9 tiles cut from one stomach biopsy slide, H&E stain.
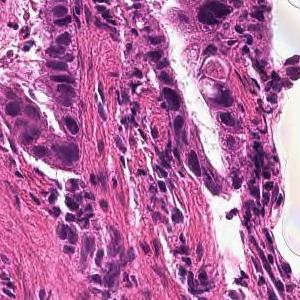
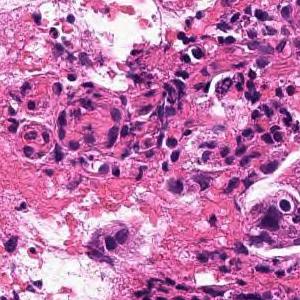
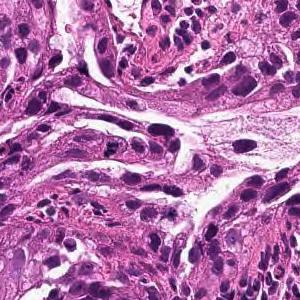
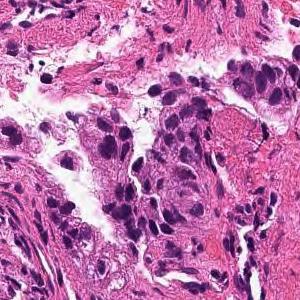
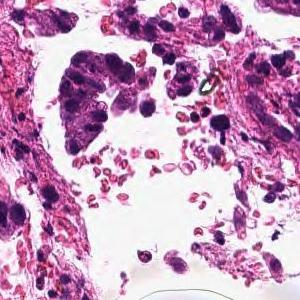
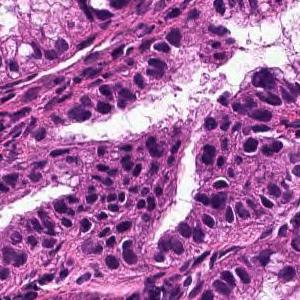
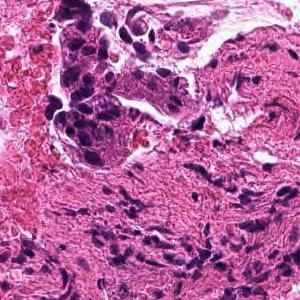
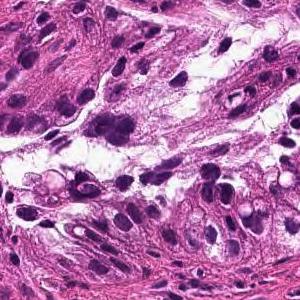
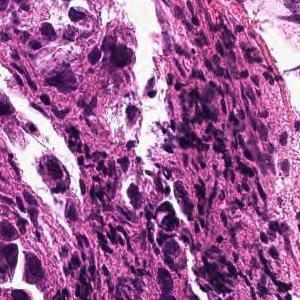
Diagnostic report for the slide these tiles come from. The report and the diagnosis describe the slide as a whole, so these tiles may not show every feature named and may include non-tumor tissue.
From the superficial epithelium to the muscularis mucosae, tumor tissue infiltrating by forming medium-sized irregular gland ducts is observed. Well differentiated tubular adenocarcinoma
